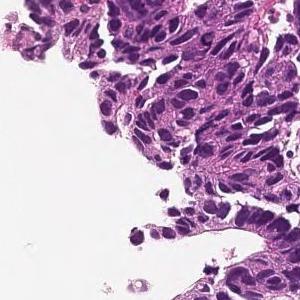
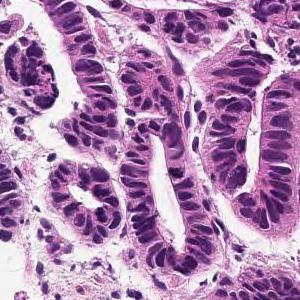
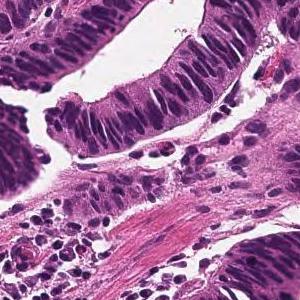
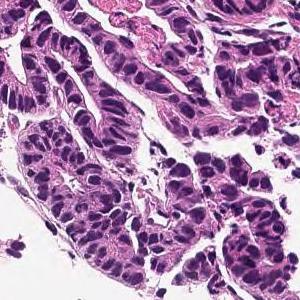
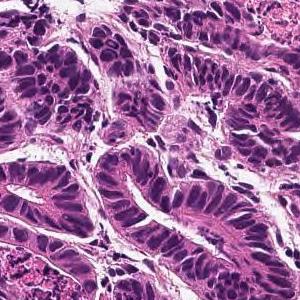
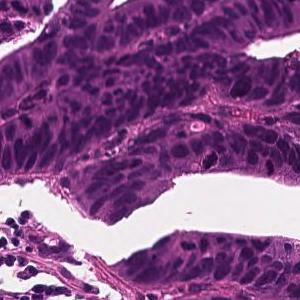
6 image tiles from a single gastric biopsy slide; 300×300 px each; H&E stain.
The pathologist's report on the biopsy slide these tiles were taken from. The report and the diagnosis cover the entire slide, so not every feature they name need be visible here, and some tissue shown may not be tumor.
From the superficial epithelium to the muscularis mucosae, tumor tissue consisting of medium-sized and irregular glandular ducts infiltrating is observed. Well differentiated tubular adenocarcinoma
